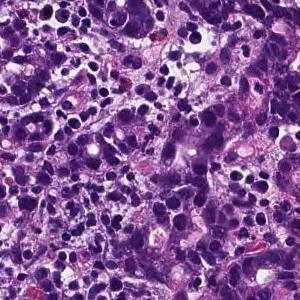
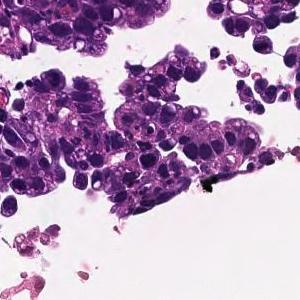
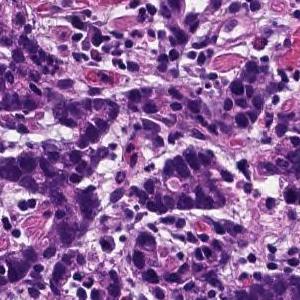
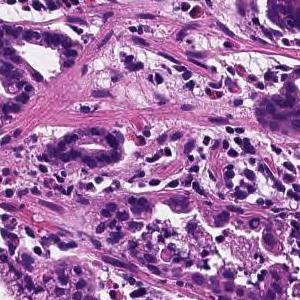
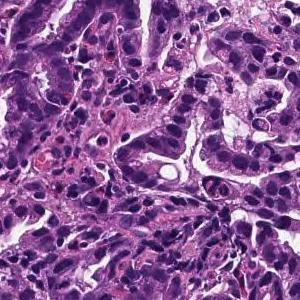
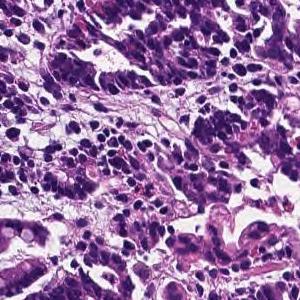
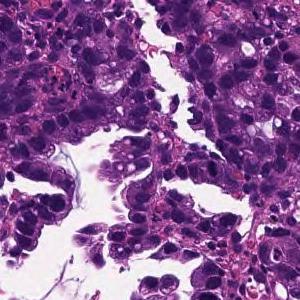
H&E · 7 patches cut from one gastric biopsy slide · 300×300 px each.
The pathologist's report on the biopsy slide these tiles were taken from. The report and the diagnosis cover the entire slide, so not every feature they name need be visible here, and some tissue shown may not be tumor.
In the superficial epithelium, tumor tissue that invades by forming medium-sized to small, irregular ducts is observed. moderately differentiated tubular adenocarcinoma.
